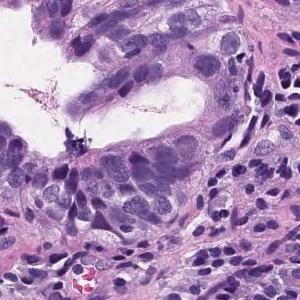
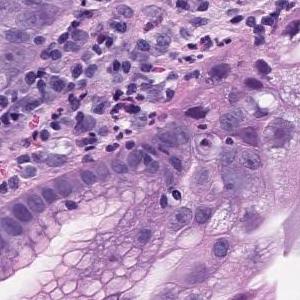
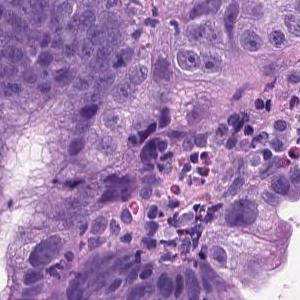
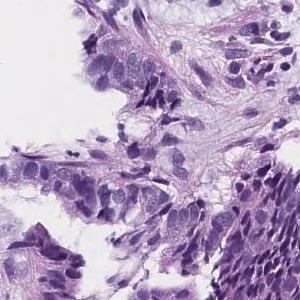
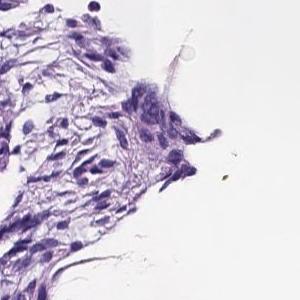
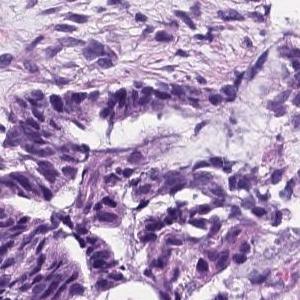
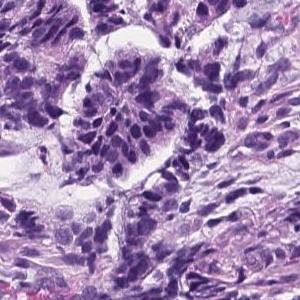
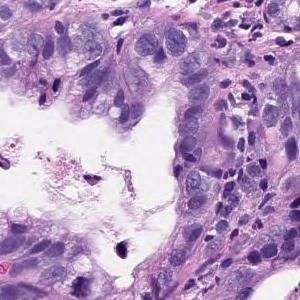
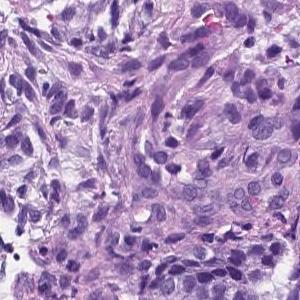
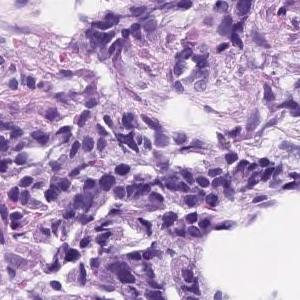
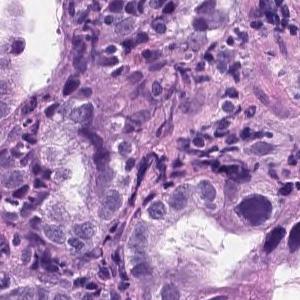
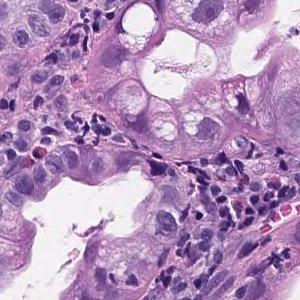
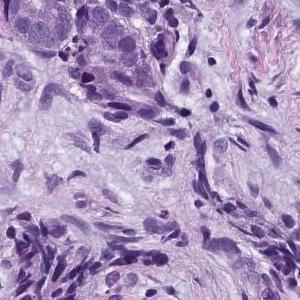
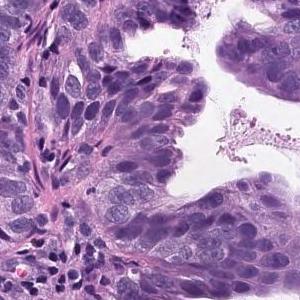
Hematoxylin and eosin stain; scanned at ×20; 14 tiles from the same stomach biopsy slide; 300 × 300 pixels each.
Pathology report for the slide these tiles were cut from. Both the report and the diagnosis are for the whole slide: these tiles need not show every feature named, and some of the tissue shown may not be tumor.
In the superficial epithelium, tumor tissue that invades by forming medium-sized to small, irregular ducts is observed. Moderately differentiated adenocarcinoma.
Classified as moderately differentiated tubular adenocarcinoma.
